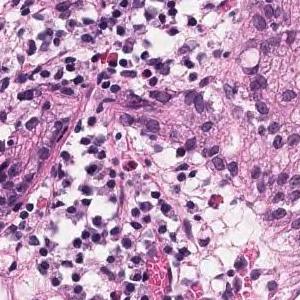
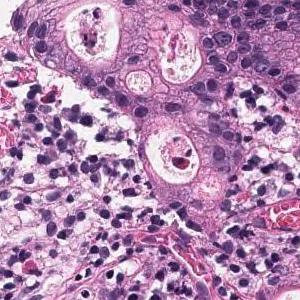
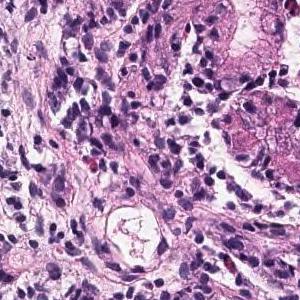
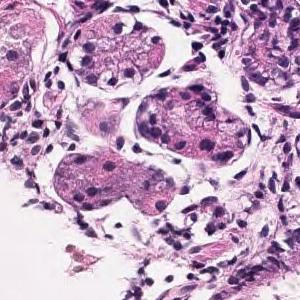
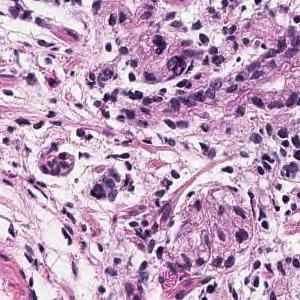
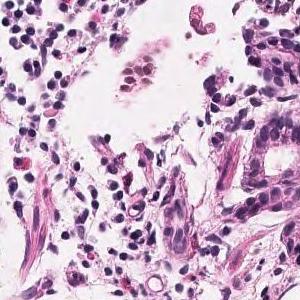
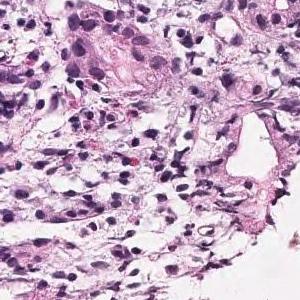
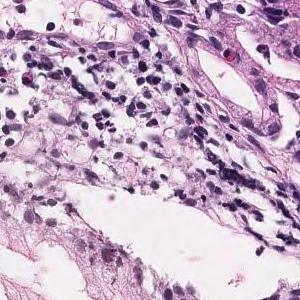
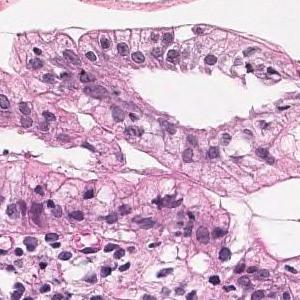
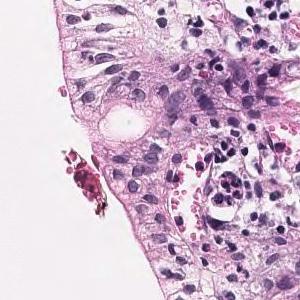
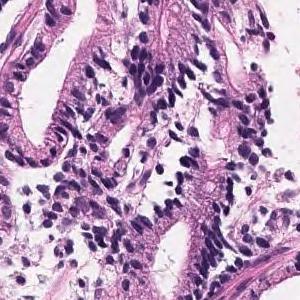
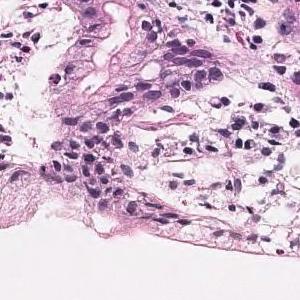
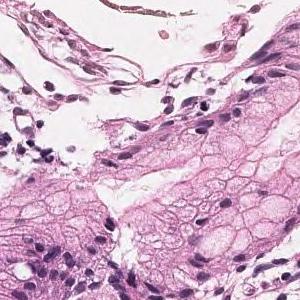
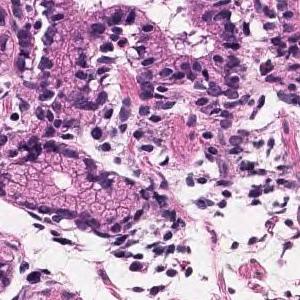
14 tiles from the same stomach biopsy slide, each 300 × 300 pixels, H&E stain, 20× magnification.
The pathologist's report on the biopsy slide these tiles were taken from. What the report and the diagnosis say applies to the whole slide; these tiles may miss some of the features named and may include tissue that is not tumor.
Tumor tissue that grows and grows is observed, showing a medium-sized round or irregular duct. moderately differentiated tubular adenocarcinoma
